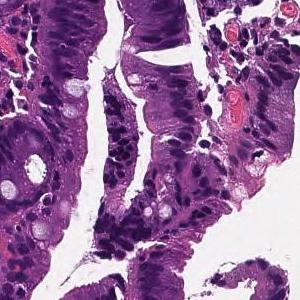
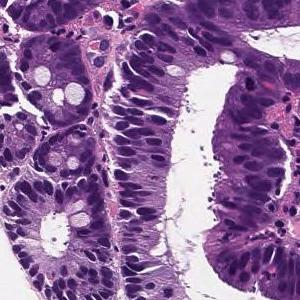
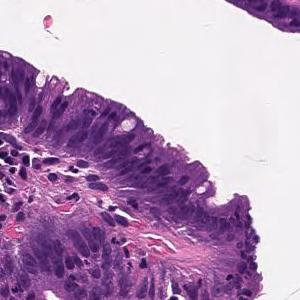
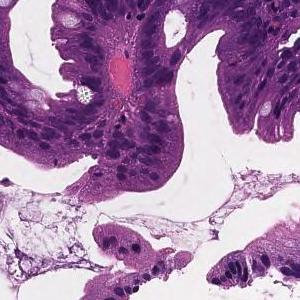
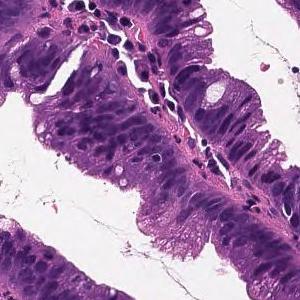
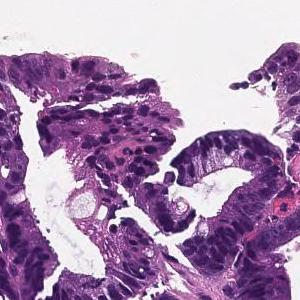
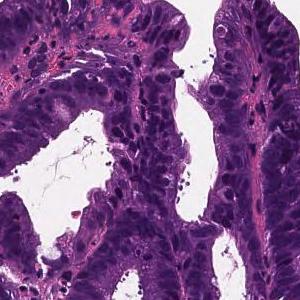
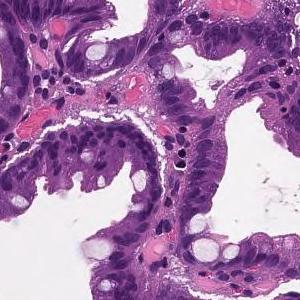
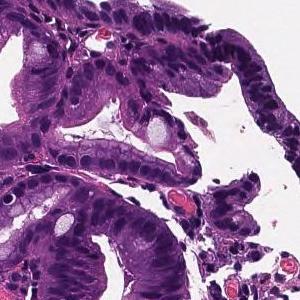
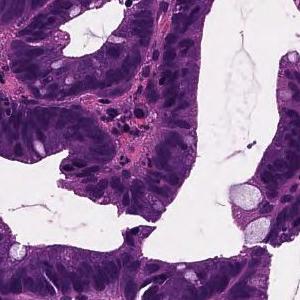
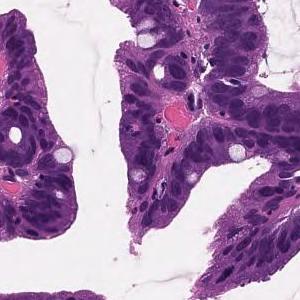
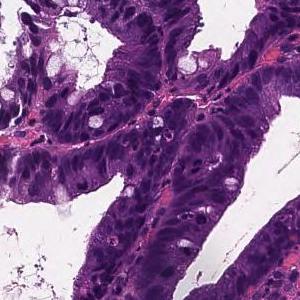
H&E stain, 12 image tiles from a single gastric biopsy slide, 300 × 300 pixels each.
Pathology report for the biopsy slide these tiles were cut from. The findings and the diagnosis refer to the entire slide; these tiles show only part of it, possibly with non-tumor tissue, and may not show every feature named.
moderately differentiated tubular adenocarcinoma infiltrates in the submucosa massively.
Classified as moderately differentiated tubular adenocarcinoma.
